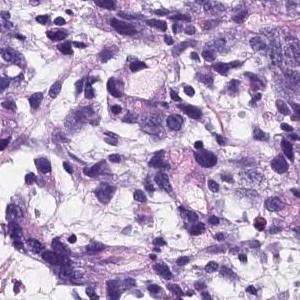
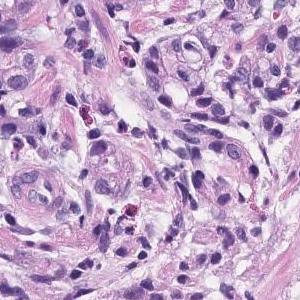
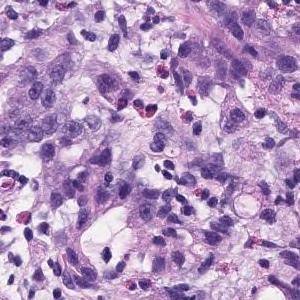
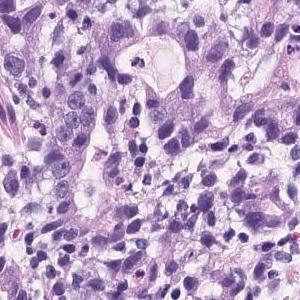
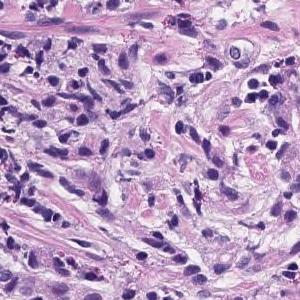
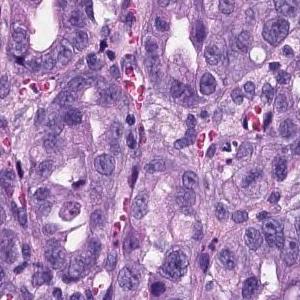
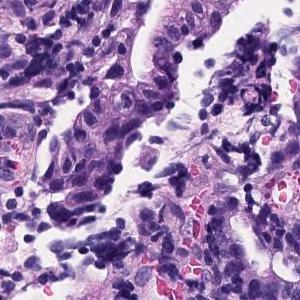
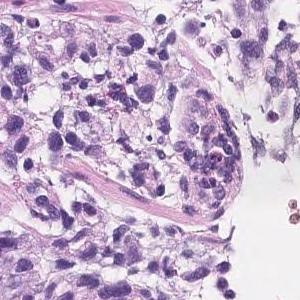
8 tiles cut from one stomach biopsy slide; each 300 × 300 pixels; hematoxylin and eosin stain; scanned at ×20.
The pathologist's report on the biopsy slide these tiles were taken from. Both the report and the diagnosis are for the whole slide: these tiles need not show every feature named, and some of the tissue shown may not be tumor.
There are atypical l cells with atypical nuclei forming cord-like or irregular atypical ducts from solidity and proliferating in a comprehensive manner. Poorly differentiated adenocarcinoma, Moderately differentiated adenocarcinoma (poorly differentiated adenocarcinoma, solid type moderately differentiated tubular adenocarcinoma)
Tumor subtype: moderately to poorly differentiated adenocarcinoma.
The term "solid type" comes from the Japanese Classification of Gastric Carcinoma; the WHO 2019 equivalent is tubular adenocarcinoma, poorly differentiated.
